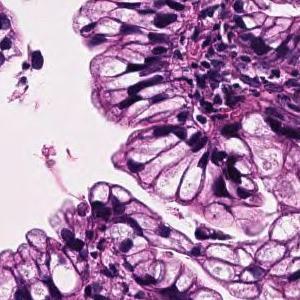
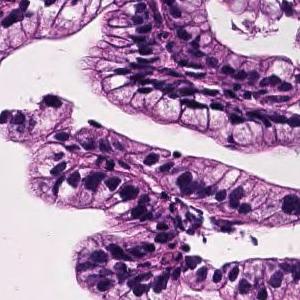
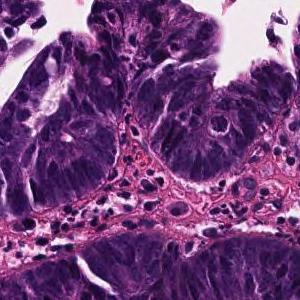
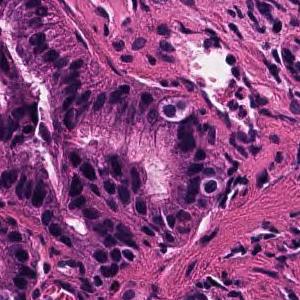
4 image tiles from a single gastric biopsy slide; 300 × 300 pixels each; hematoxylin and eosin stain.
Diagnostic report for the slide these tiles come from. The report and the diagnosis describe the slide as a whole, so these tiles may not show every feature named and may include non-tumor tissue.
Tumor cells are large, highly columnar, large club-shaped nuclei, and are associated with chromatin aggregation. Papillary adenocarcinoma.
